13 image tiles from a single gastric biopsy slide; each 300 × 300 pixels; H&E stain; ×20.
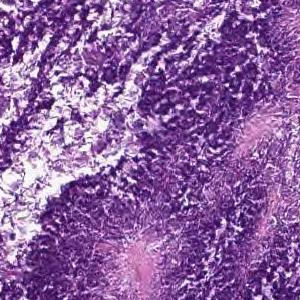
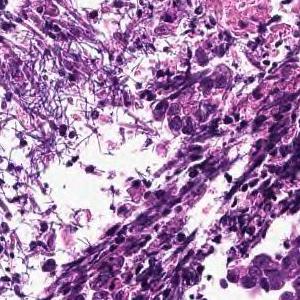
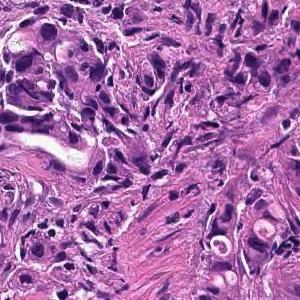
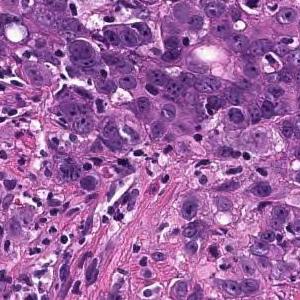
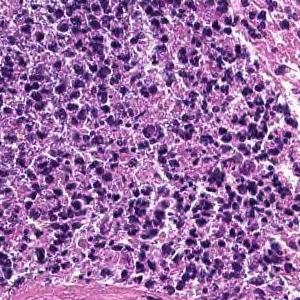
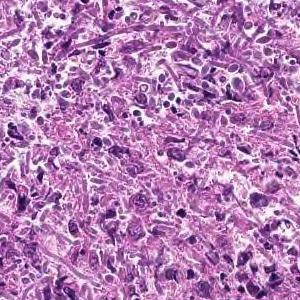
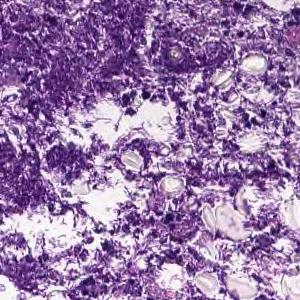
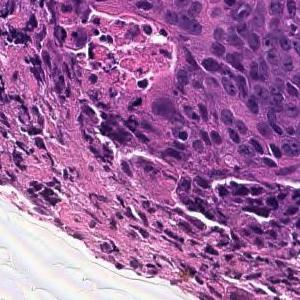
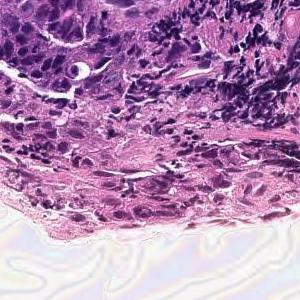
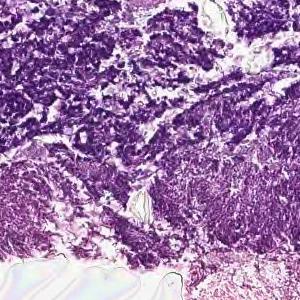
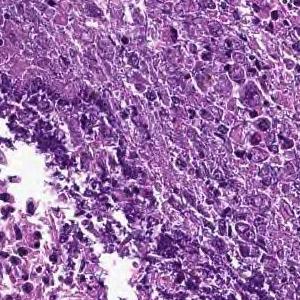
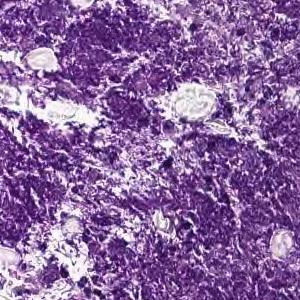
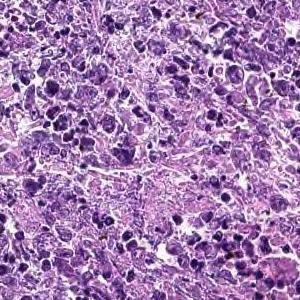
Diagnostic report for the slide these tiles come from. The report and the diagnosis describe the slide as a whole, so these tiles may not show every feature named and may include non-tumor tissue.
Cancers with polygonal nuclei do not show glandular formation and are densely, in part, cord-like and proliferate. Poorly differentiated adenocarcinoma
Classified as poorly differentiated adenocarcinoma, non-solid type.
The non-solid type named here is a Japanese Classification of Gastric Carcinoma category.
